4 tiles from the same stomach biopsy slide; scanned at ×20; H&E stain.
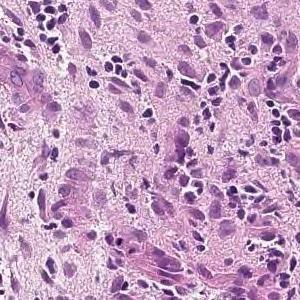
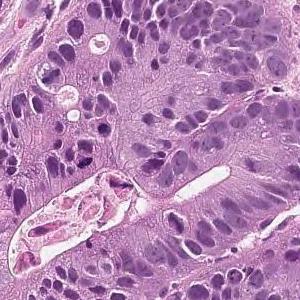
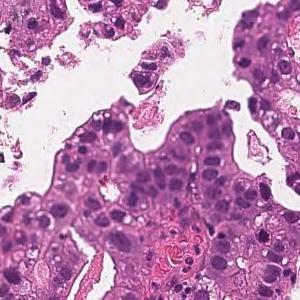
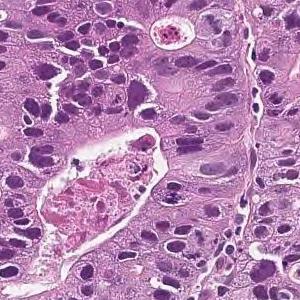
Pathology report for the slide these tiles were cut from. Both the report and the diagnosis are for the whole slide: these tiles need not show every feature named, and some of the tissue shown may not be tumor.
In the superficial epithelium, tumor tissue that invades by forming medium-sized to small, irregular ducts is observed. moderately differentiated tubular adenocarcinoma.
